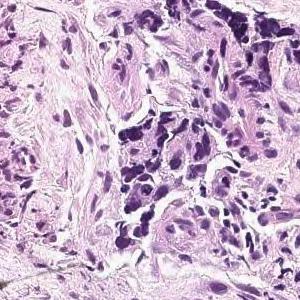
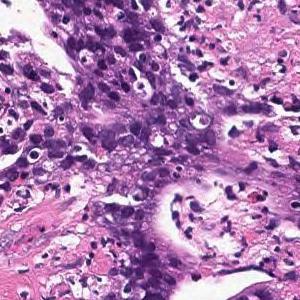
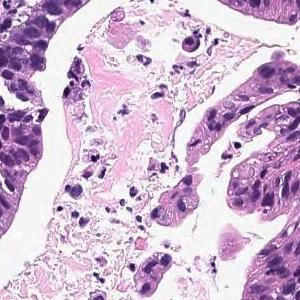
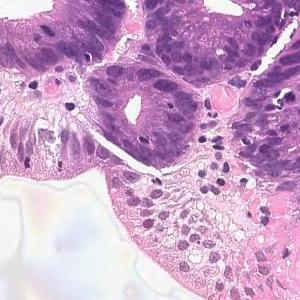
H&E stain · scanned at ×20 · 4 image tiles from a single gastric biopsy slide.
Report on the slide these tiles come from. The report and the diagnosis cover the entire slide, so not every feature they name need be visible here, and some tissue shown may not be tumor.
In the superficial epithelium, tumor tissue that invades by forming medium-sized to small, irregular ducts is observed. moderately differentiated tubular adenocarcinoma.
